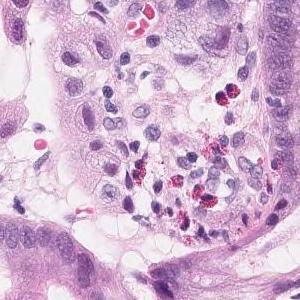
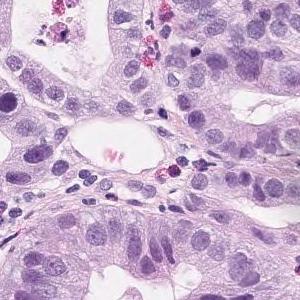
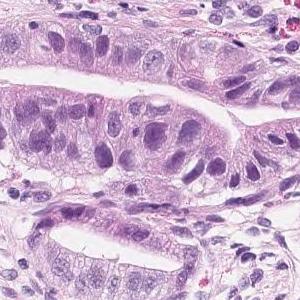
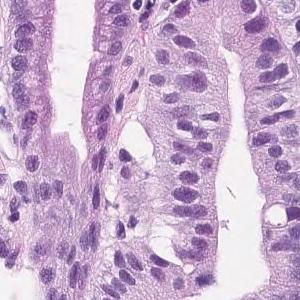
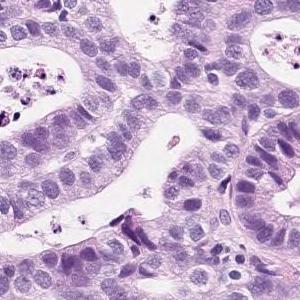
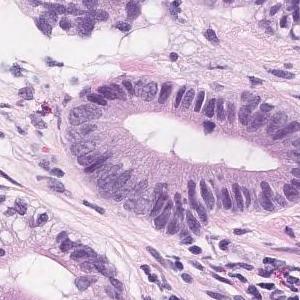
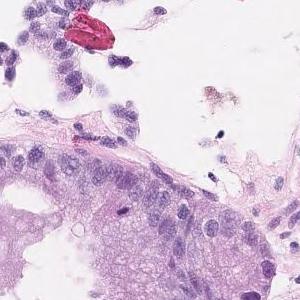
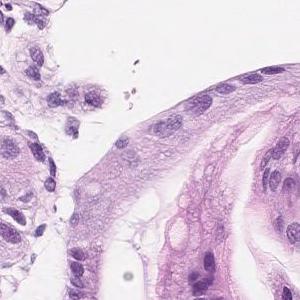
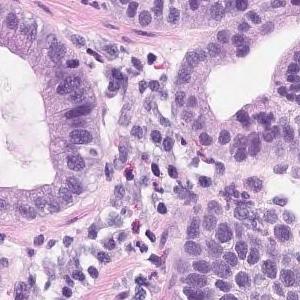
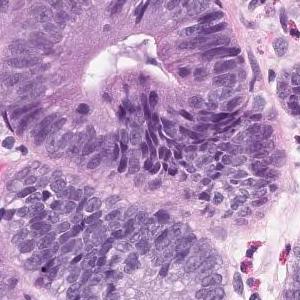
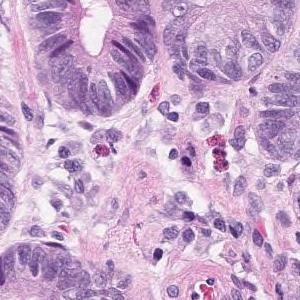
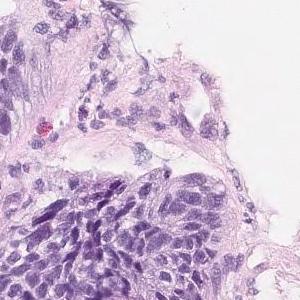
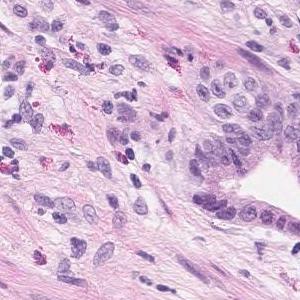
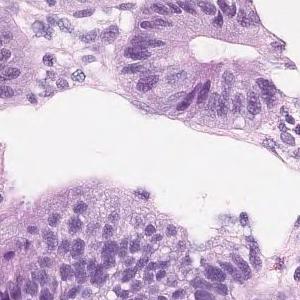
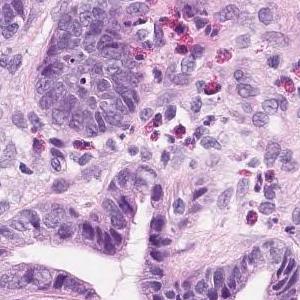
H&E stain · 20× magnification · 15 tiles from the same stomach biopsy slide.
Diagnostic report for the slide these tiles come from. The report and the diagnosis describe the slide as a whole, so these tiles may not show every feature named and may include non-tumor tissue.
Short atypical epithelium with swelling of the nucleus shows proliferating, large and small irregular ductal structures. Well to moderately differentiated tubular adenocarcinoma (well differentiated tubular adenocarcinoma-moderately differentiated tubular adenocarcinoma)
Tumor subtype: well to moderately differentiated tubular adenocarcinoma.
